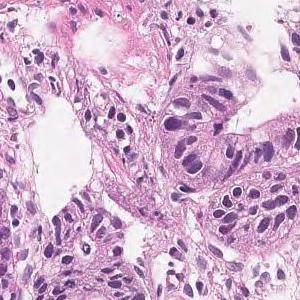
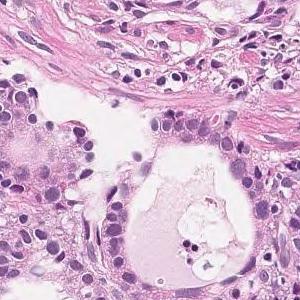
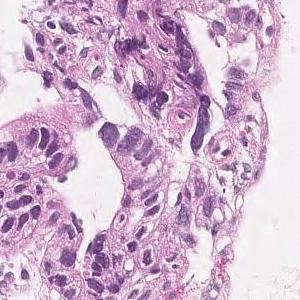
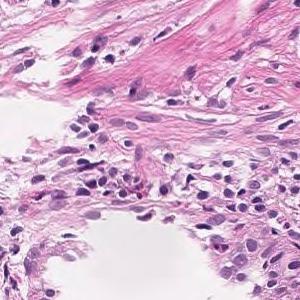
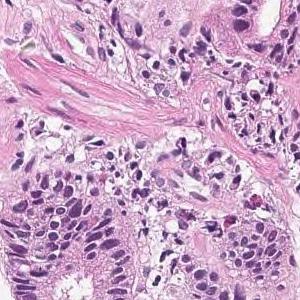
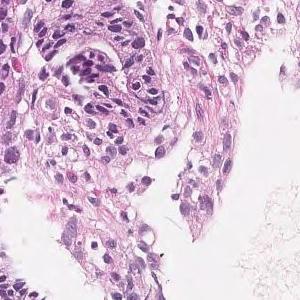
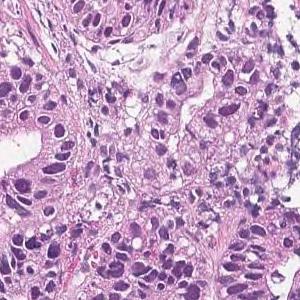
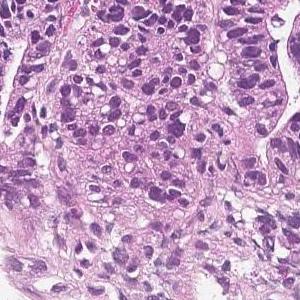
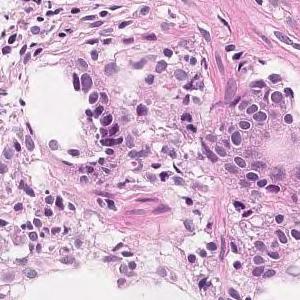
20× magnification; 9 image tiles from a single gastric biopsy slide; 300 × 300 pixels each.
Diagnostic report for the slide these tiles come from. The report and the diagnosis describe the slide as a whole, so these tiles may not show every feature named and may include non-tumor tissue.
In the superficial epithelium, tumor tissue that invades by forming medium-sized to small, irregular ducts is observed. moderately differentiated tubular adenocarcinoma.
